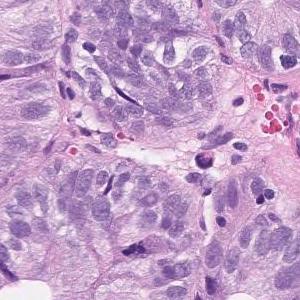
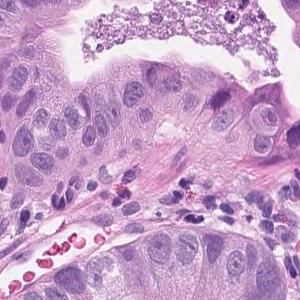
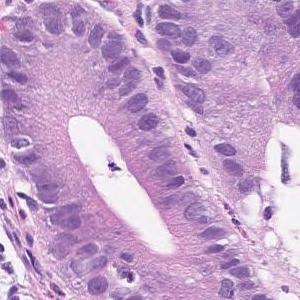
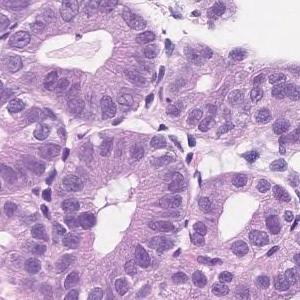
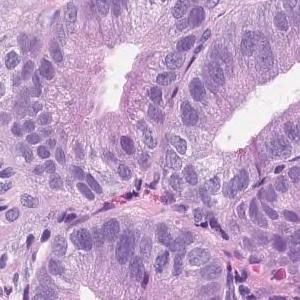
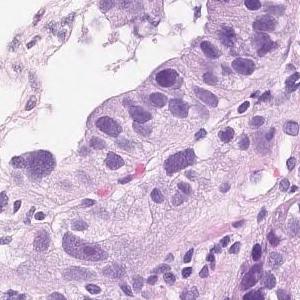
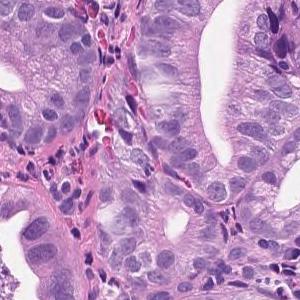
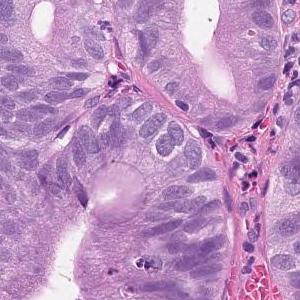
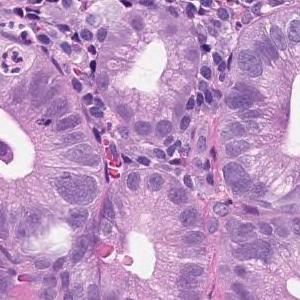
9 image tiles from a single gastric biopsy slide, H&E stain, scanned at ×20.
Pathology report for the slide these tiles were cut from. The report describes the whole slide, diagnosis included: not every finding it names need appear in these tiles, which may also show non-tumor tissue.
Tumor tissue consisting of medium-sized and irregular ducts is observed infiltrating in the superficial epithelium. Tumor cells are highly columnar, with nuclei aligned basolaterally and polarized. Well differentiated tubular adenocarcinoma.
